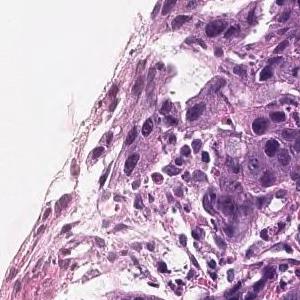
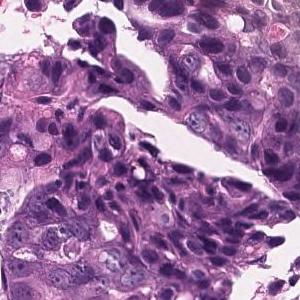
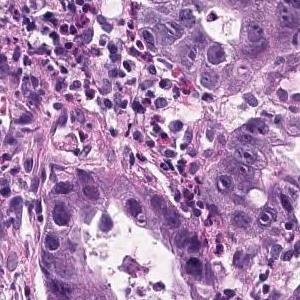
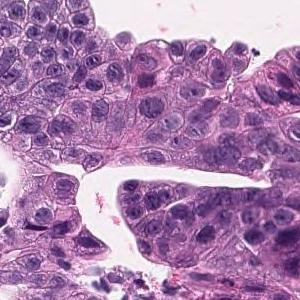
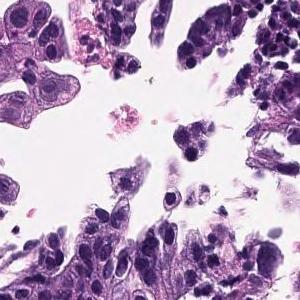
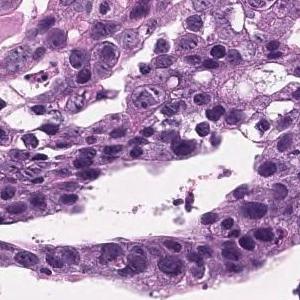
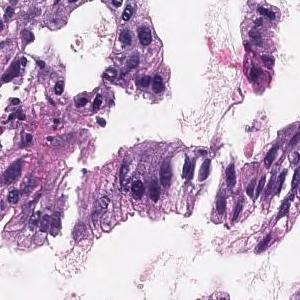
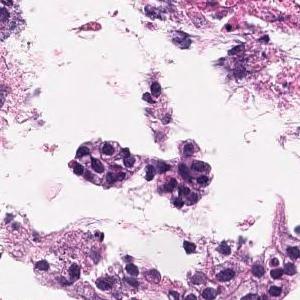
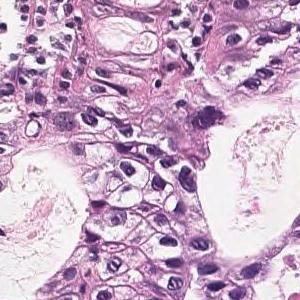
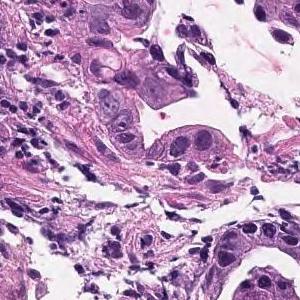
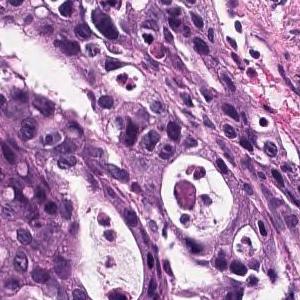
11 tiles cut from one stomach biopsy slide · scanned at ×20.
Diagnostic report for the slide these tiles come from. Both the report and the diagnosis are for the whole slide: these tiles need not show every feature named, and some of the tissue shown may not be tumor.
Tumor cells are large, highly columnar, large club-shaped nuclei, and are associated with chromatin aggregation. Papillary adenocarcinoma.
